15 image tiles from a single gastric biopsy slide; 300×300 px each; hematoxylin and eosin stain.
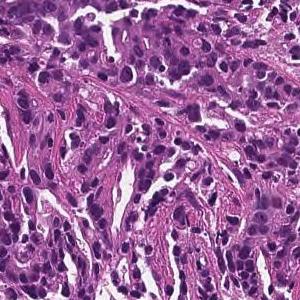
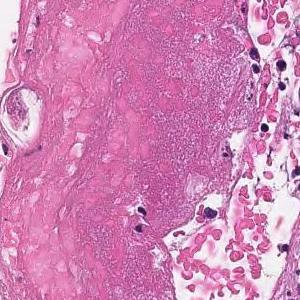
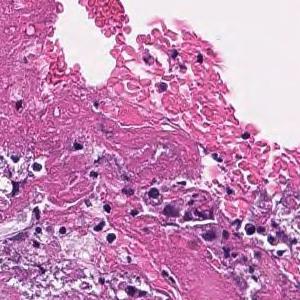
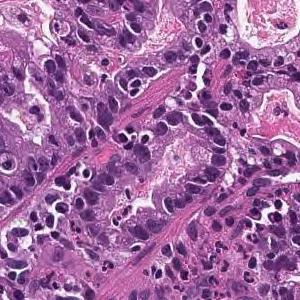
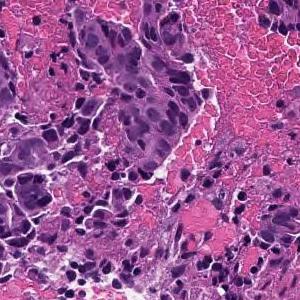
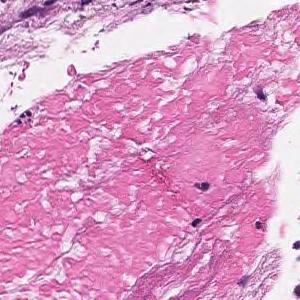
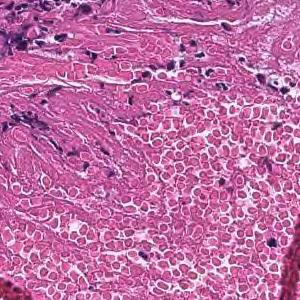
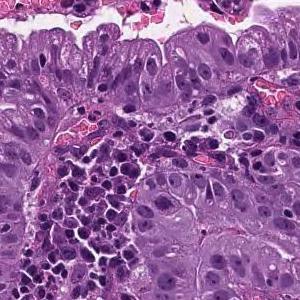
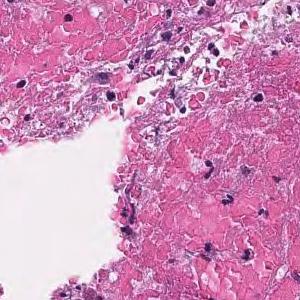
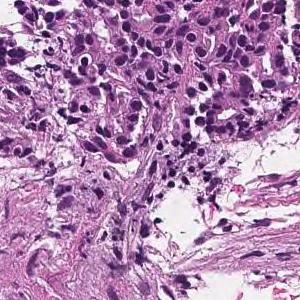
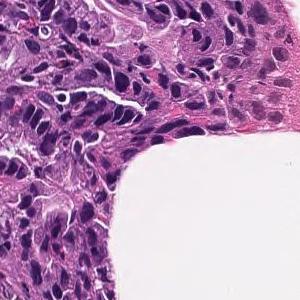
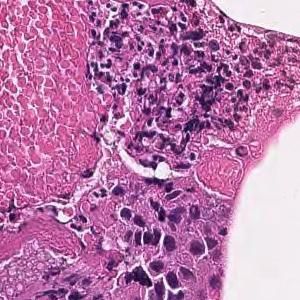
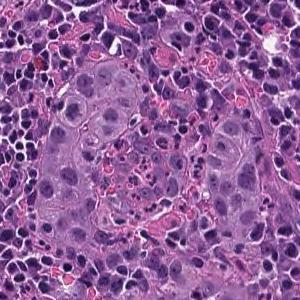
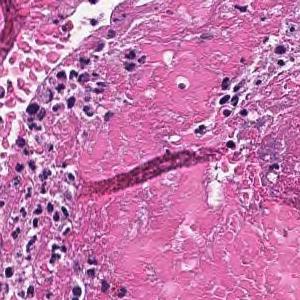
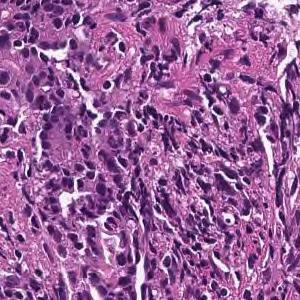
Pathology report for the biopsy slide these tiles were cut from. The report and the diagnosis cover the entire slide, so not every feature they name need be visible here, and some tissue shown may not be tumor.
On the superficial epithelium, tumor tissue that infiltrates by forming medium-sized papillary or small irregular ducts is observed. Papillary adenocarcinoma
